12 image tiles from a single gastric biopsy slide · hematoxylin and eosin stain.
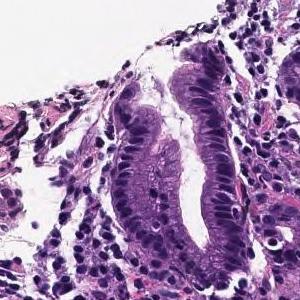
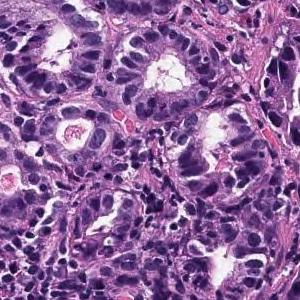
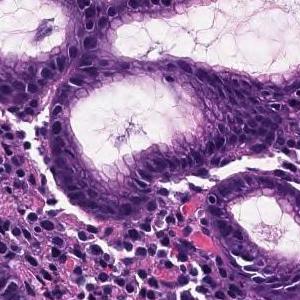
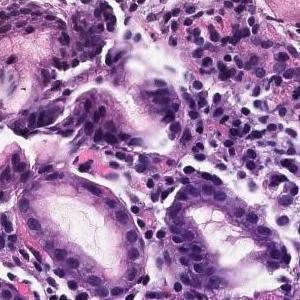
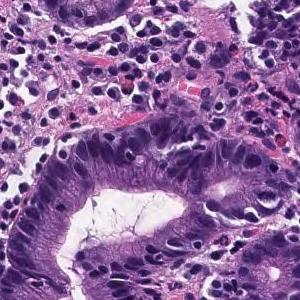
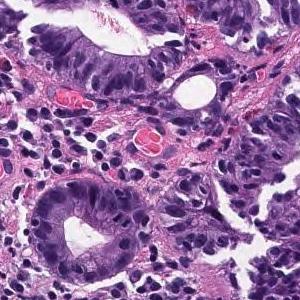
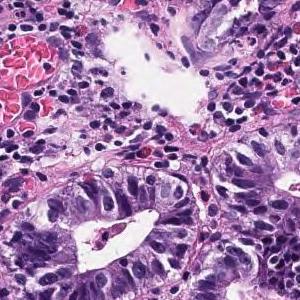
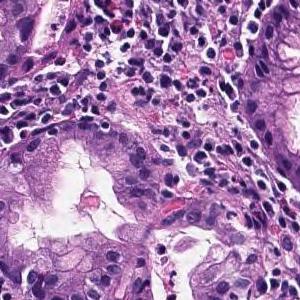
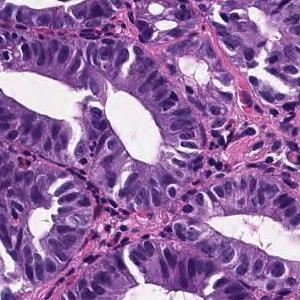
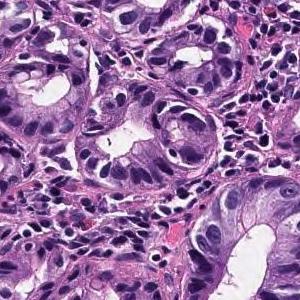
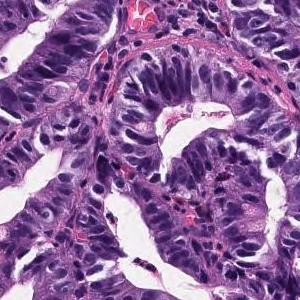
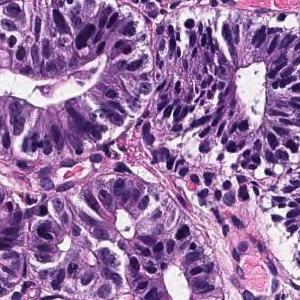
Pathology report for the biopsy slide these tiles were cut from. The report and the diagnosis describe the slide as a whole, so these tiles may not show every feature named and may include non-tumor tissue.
Tumor tissue consisting of medium-sized and irregular ducts is observed infiltrating in the superficial epithelium. Tumor cells are highly columnar, with nuclei aligned basolaterally and polarized. Well differentiated tubular adenocarcinoma.
